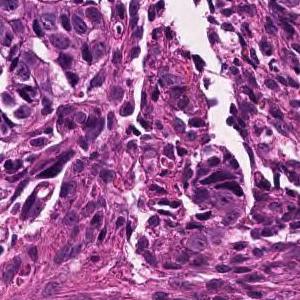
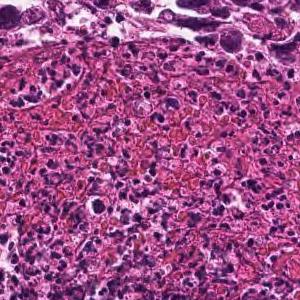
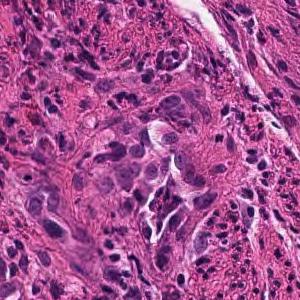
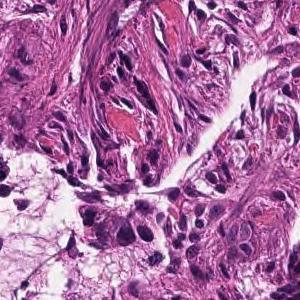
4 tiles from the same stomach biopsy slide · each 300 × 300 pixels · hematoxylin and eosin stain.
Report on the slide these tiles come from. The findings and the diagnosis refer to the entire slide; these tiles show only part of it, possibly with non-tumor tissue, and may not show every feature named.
In the superficial epithelium, tumor tissue that invades by forming medium-sized to small, irregular ducts is observed. moderately differentiated tubular adenocarcinoma.
